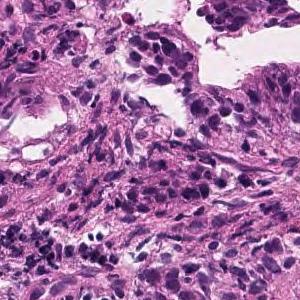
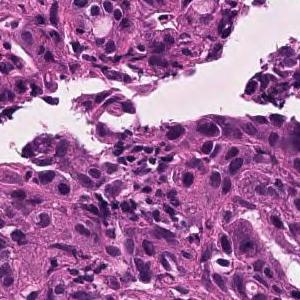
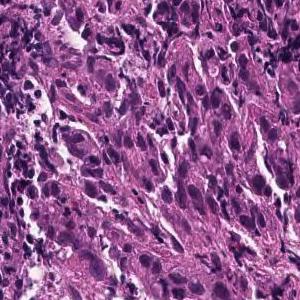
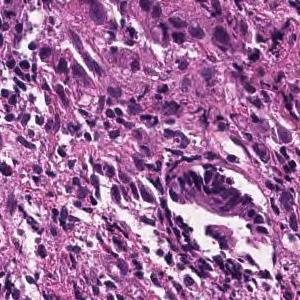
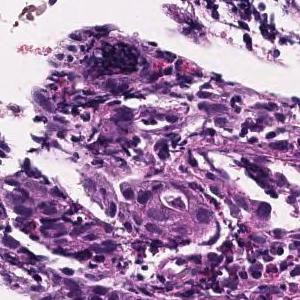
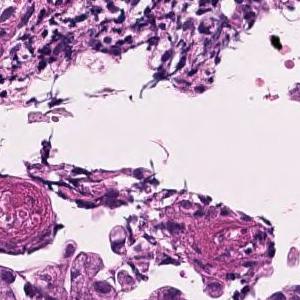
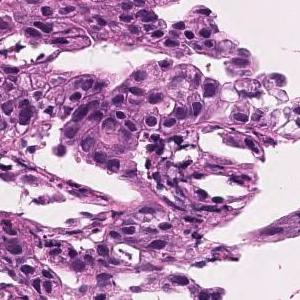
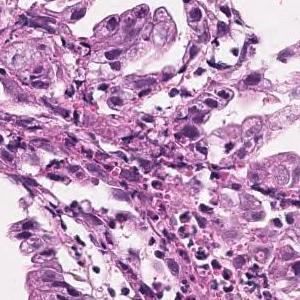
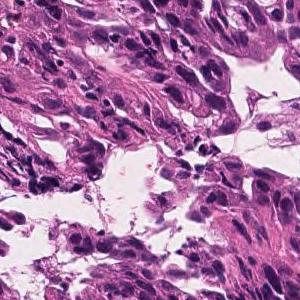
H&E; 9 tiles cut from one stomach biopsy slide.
Diagnostic report for the slide these tiles come from. The findings and the diagnosis refer to the entire slide; these tiles show only part of it, possibly with non-tumor tissue, and may not show every feature named.
Tumor tissue consisting of medium-sized, cord-like or irregular glandular infiltration is observed in the superficial epithelium. Poorly differentiated adenocarcinoma, non-solid type or moderately differentiated tubular adenocarcinoma
The non-solid type named here is a Japanese Classification of Gastric Carcinoma category.
